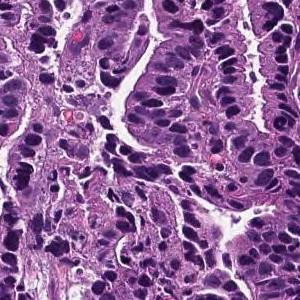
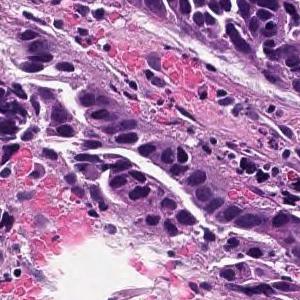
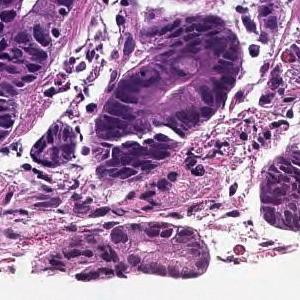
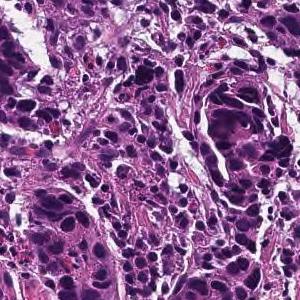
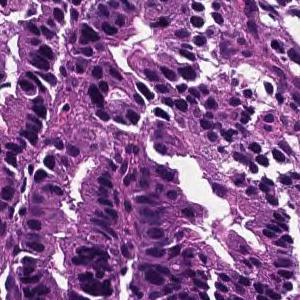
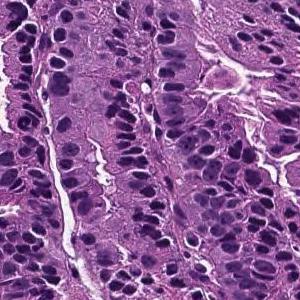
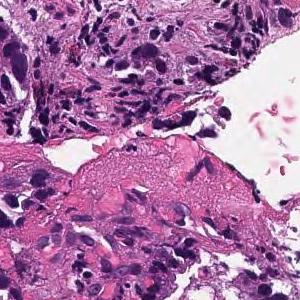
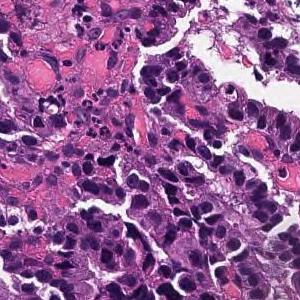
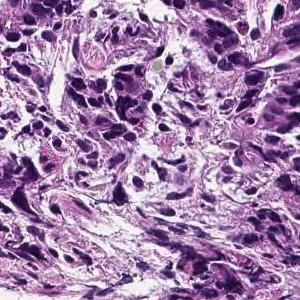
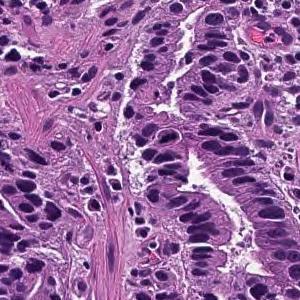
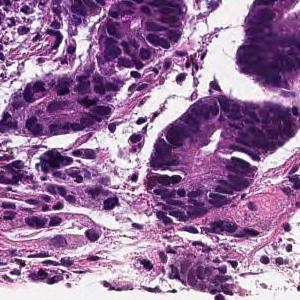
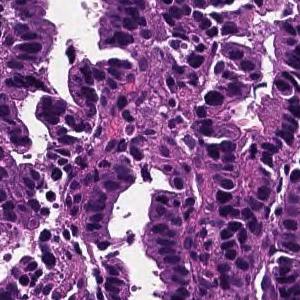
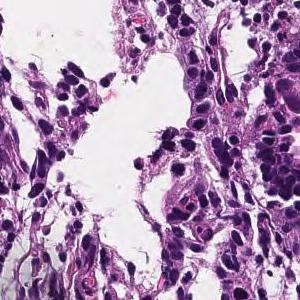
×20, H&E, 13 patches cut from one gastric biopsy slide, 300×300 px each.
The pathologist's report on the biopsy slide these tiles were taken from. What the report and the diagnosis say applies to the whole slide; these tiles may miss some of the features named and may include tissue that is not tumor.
In the superficial epithelium, tumor tissue that invades by forming medium-sized to small, irregular ducts is observed. moderately differentiated tubular adenocarcinoma.
